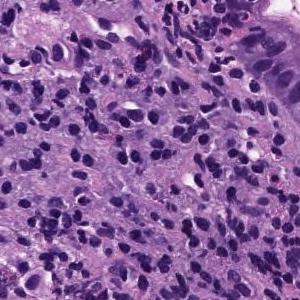
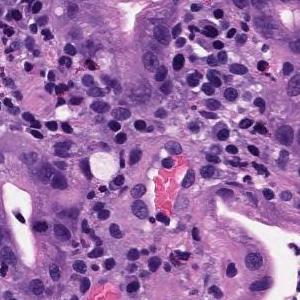
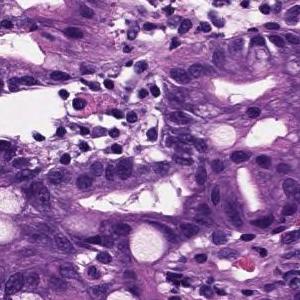
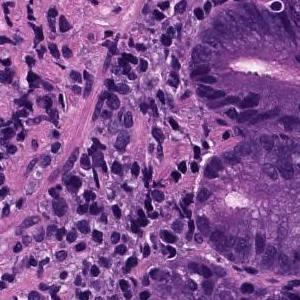
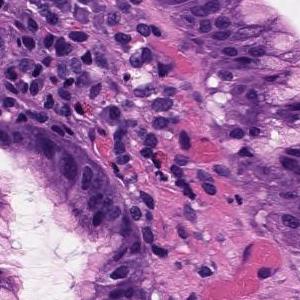
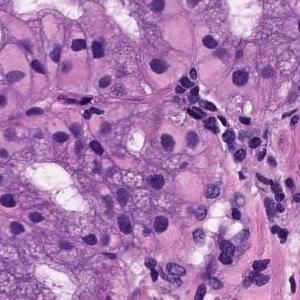
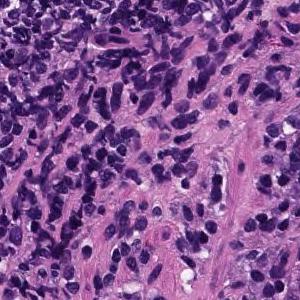
7 patches cut from one gastric biopsy slide, 300×300 px each, 20× magnification.
Diagnostic report for the slide these tiles come from. The report and the diagnosis cover the entire slide, so not every feature they name need be visible here, and some tissue shown may not be tumor.
Medium to small, irregular glandular ducts are formed in the superficial epithelium, and in some cases, the glandular ducts are fused to show solid alveolar lesions and infiltrating tumor tissue is observed. Moderately to poorly differentiated adenocarcinoma.
